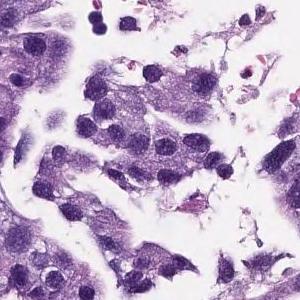
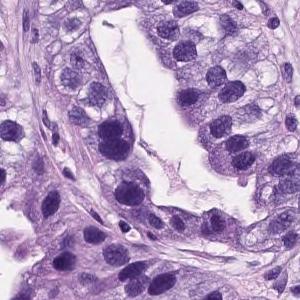
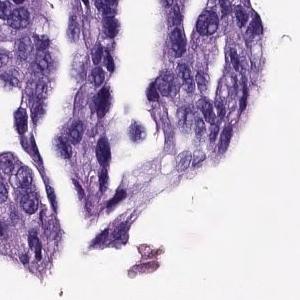
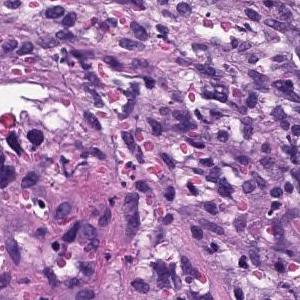
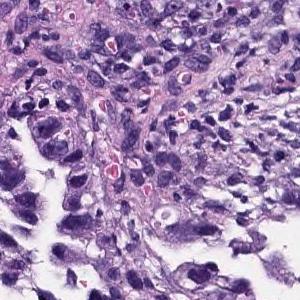
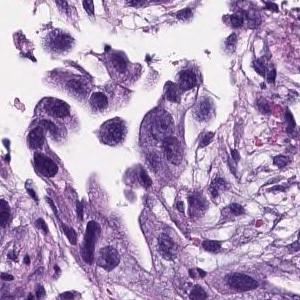
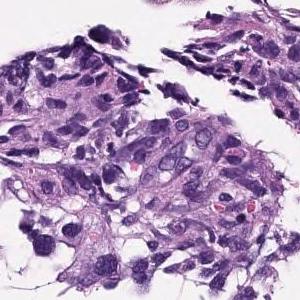
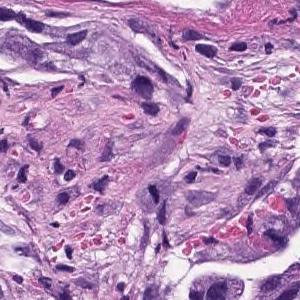
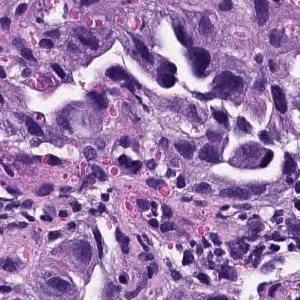
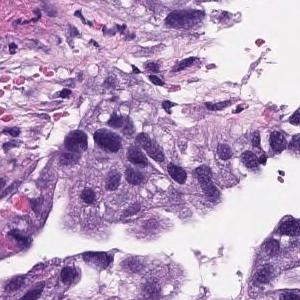
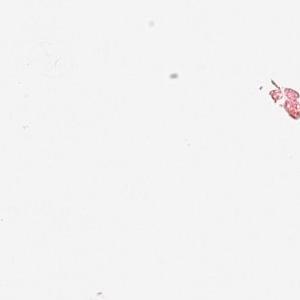
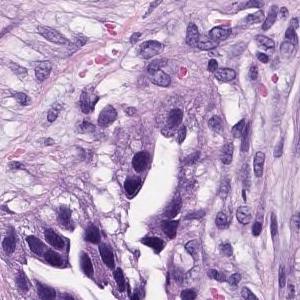
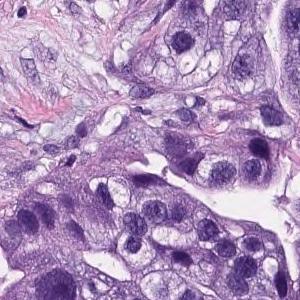
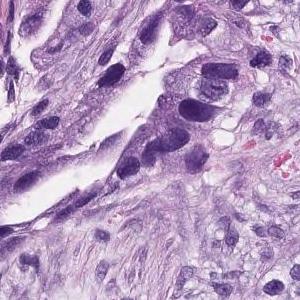
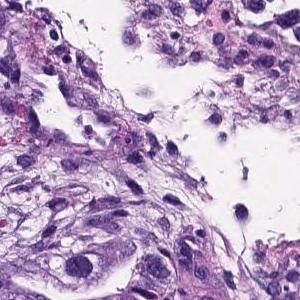
Scanned at ×20, H&E stain, 15 patches cut from one gastric biopsy slide.
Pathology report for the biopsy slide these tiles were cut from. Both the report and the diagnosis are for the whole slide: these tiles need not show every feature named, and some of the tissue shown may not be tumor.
gastric mucosal tissue with atypical glandular proliferation arranged in tubules and acini. The tumor cells showed hyperchromatic nuclei, high N/C ratio and loss of polarity. Tubular adenocarcinoma of stomach, moderately differentiated.
Subtype: Moderately differentiated tubular adenocarcinoma.
